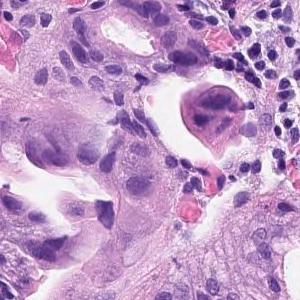
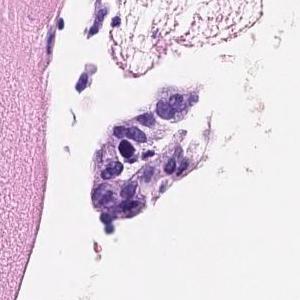
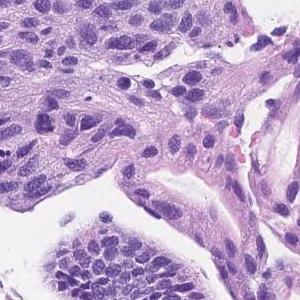
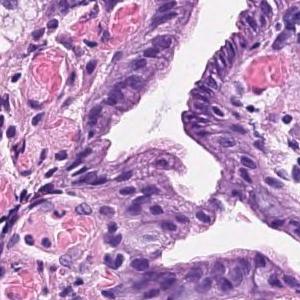
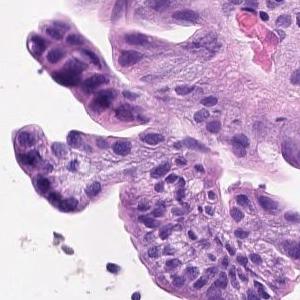
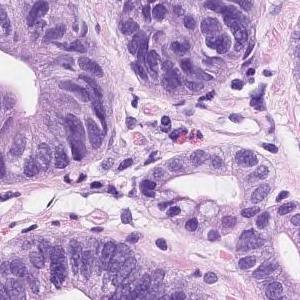
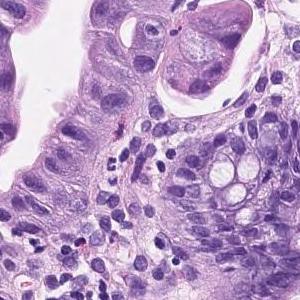
7 tiles from the same stomach biopsy slide; ×20; hematoxylin and eosin stain.
Pathology report for the biopsy slide these tiles were cut from. The report and the diagnosis cover the entire slide, so not every feature they name need be visible here, and some tissue shown may not be tumor.
Tumor tissue consisting of medium-sized and irregular ducts is observed infiltrating in the superficial epithelium. Tumor cells are highly columnar, with nuclei aligned basolaterally and polarized. Well differentiated tubular adenocarcinoma.
